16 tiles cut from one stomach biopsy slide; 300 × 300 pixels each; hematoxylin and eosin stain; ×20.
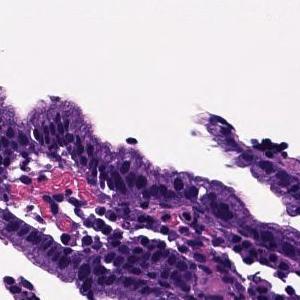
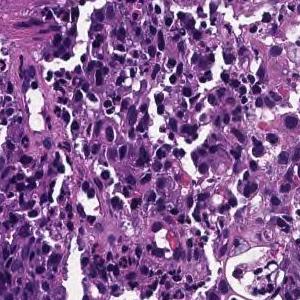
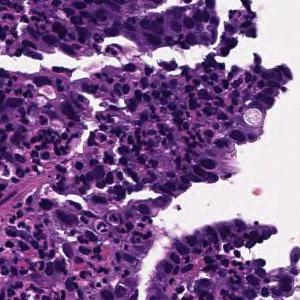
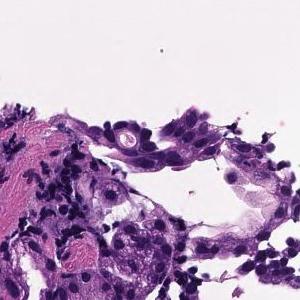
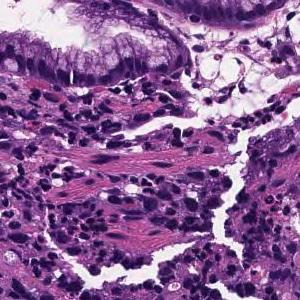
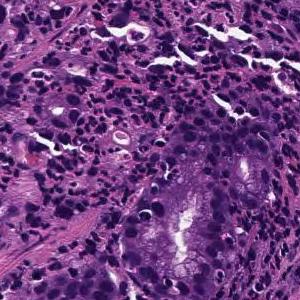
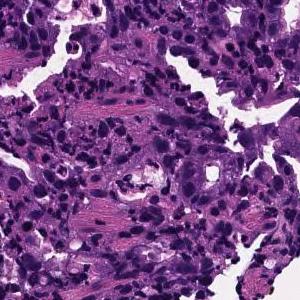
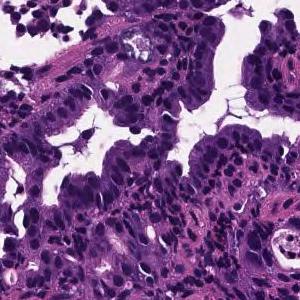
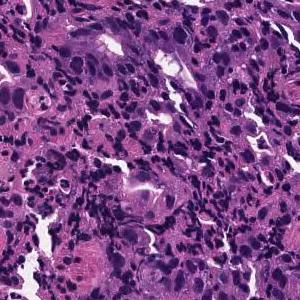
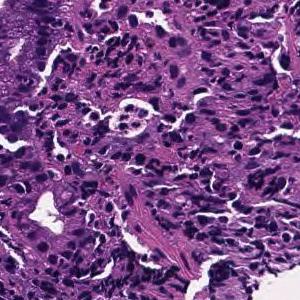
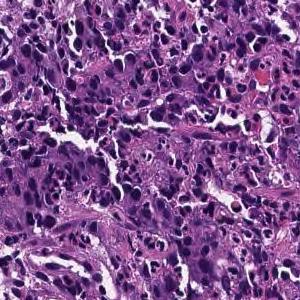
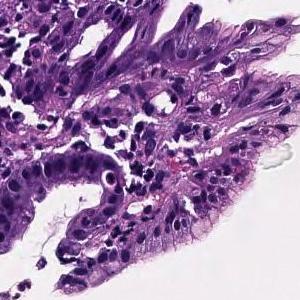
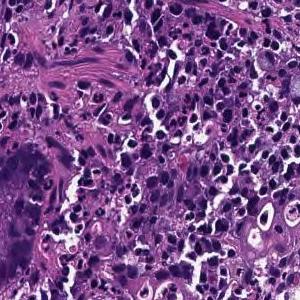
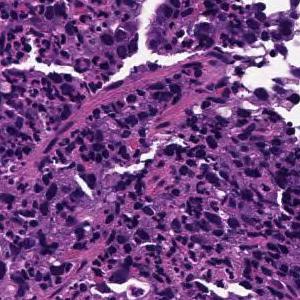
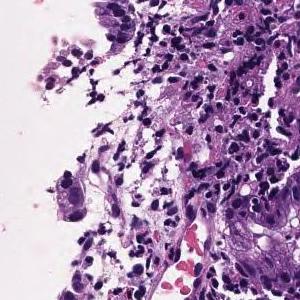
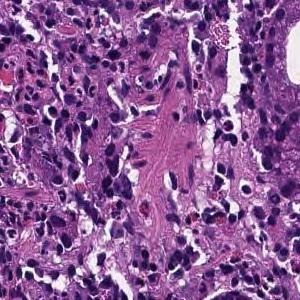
Pathology report for the biopsy slide these tiles were cut from. Both the report and the diagnosis are for the whole slide: these tiles need not show every feature named, and some of the tissue shown may not be tumor.
Medium to small, irregular glandular ducts are formed in the superficial epithelium, and in some cases, the glandular ducts are fused to show solid alveolar lesions and infiltrating tumor tissue is observed. Moderately to poorly differentiated adenocarcinoma.
